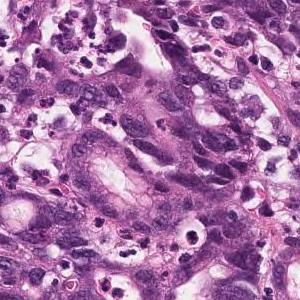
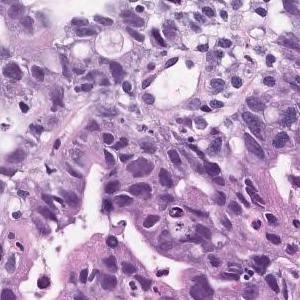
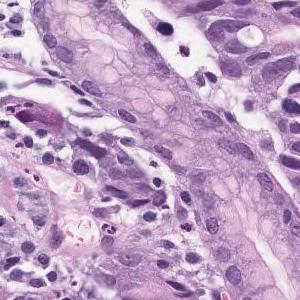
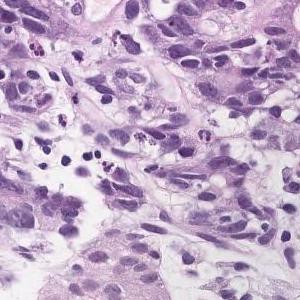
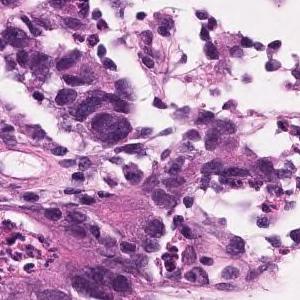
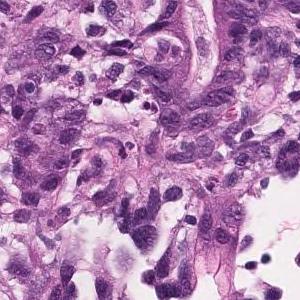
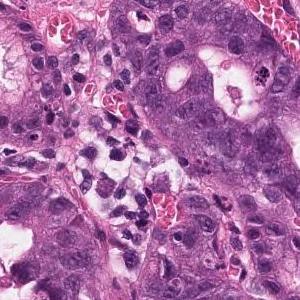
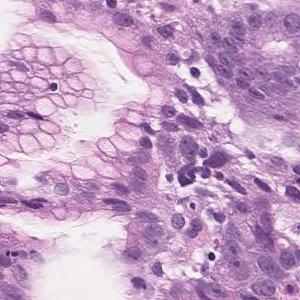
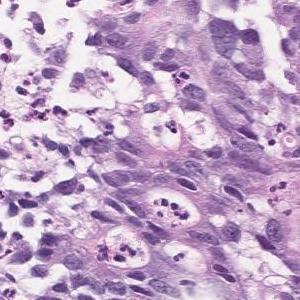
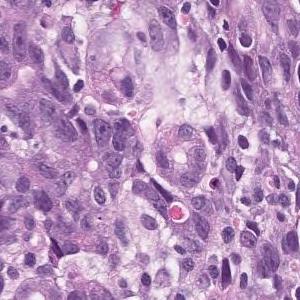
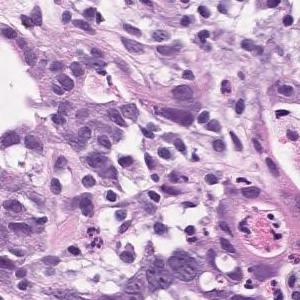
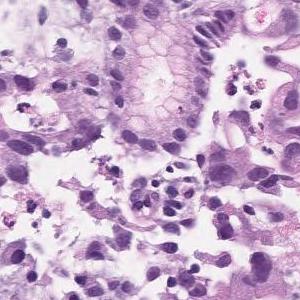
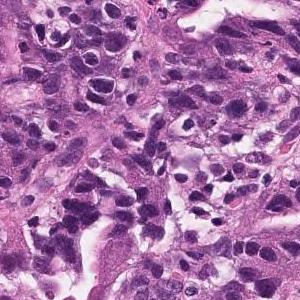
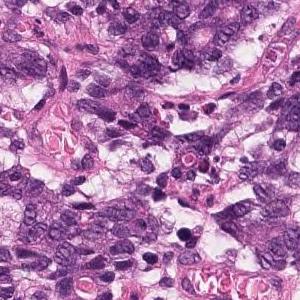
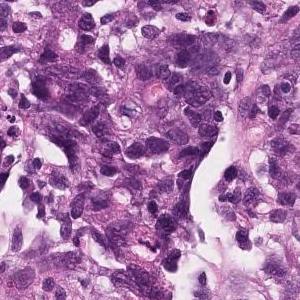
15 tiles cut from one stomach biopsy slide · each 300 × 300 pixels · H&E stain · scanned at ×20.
Pathology report for the biopsy slide these tiles were cut from. What the report and the diagnosis say applies to the whole slide; these tiles may miss some of the features named and may include tissue that is not tumor.
It is mixed with the existing pit epithelium and pyloric gland epithelium, and irregularly fused and branched atypical ducts are observed. Moderately differentiated tubular adenocarcinoma (well differentiated tubular adenocarcinoma)
The dataset labels this slide moderately differentiated tubular adenocarcinoma.
